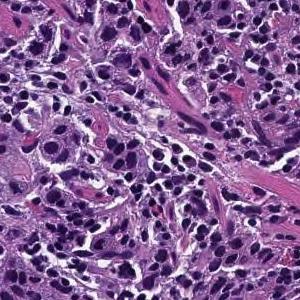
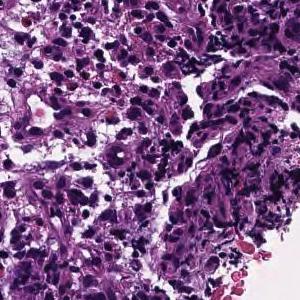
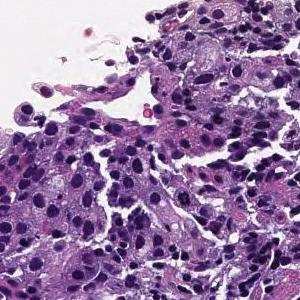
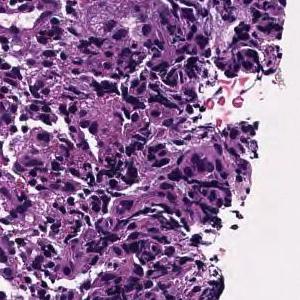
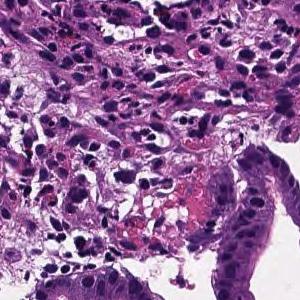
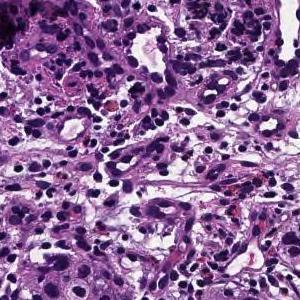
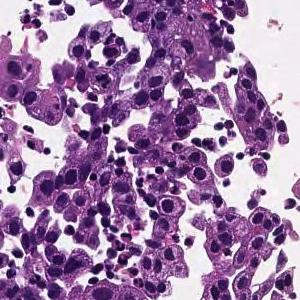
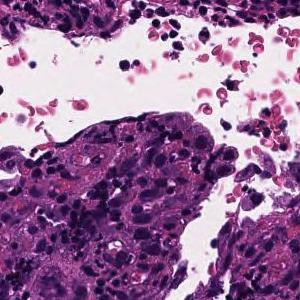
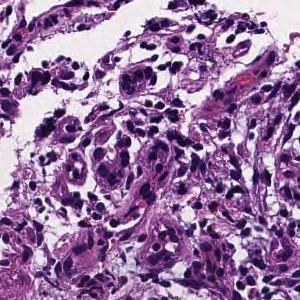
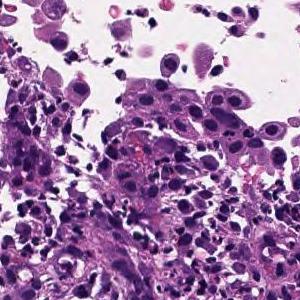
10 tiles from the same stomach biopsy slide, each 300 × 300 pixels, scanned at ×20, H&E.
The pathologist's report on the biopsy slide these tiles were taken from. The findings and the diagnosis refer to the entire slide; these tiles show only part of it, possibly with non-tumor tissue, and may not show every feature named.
Tumor tissue consisting of cord-like or small, irregular glandular ducts fused and infiltrated is observed in the superficial epithelium. Poorly differentiated adenocarcinoma, non-solid type
The non-solid type named here is a Japanese Classification of Gastric Carcinoma category.
